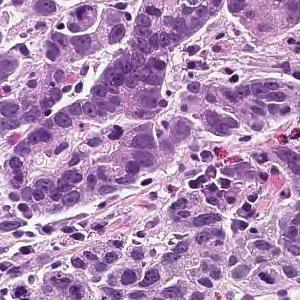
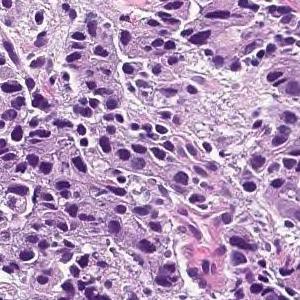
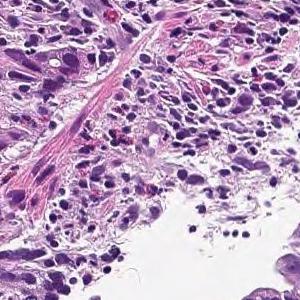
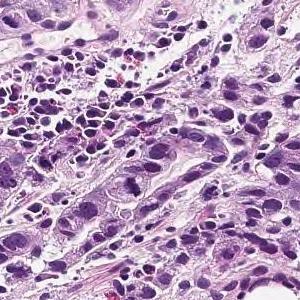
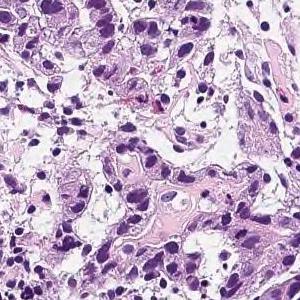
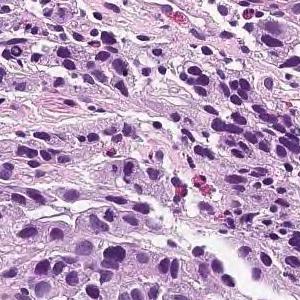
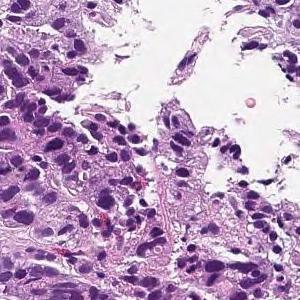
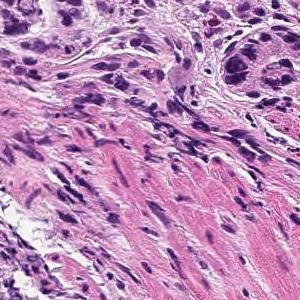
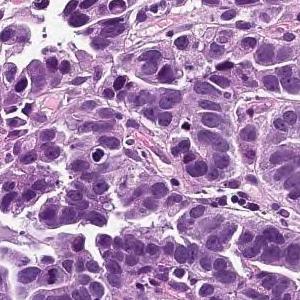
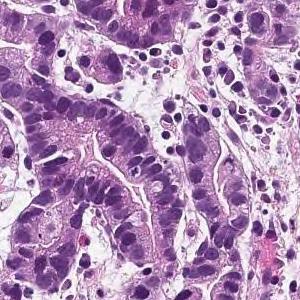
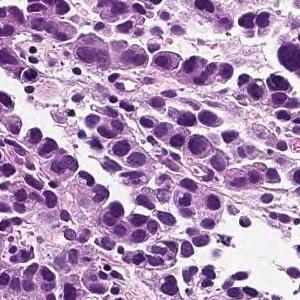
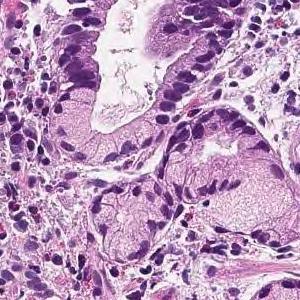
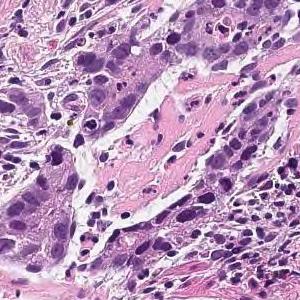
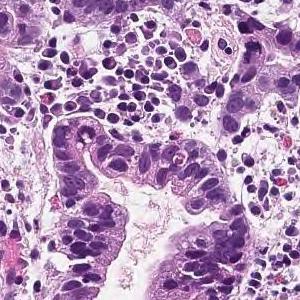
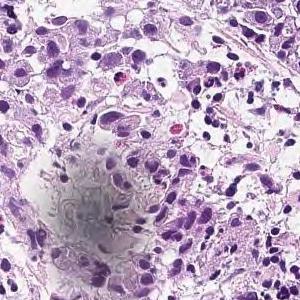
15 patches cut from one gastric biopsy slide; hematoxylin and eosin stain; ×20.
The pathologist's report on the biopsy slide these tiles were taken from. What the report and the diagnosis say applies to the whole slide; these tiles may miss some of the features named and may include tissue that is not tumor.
Tumor tissue consisting of medium-sized, cord-like or irregular glandular infiltration is observed in the superficial epithelium. Poorly differentiated adenocarcinoma, non-solid type or moderately differentiated tubular adenocarcinoma
Tumor subtype: moderately to poorly differentiated adenocarcinoma.
"Non-solid type" is a category of the Japanese Classification of Gastric Carcinoma.
